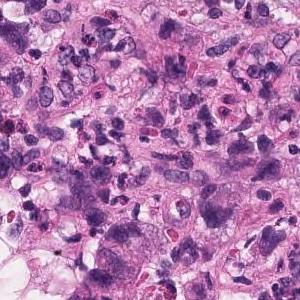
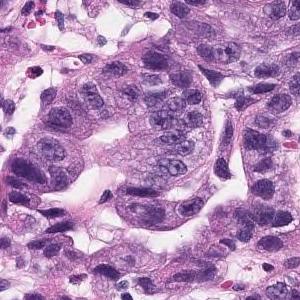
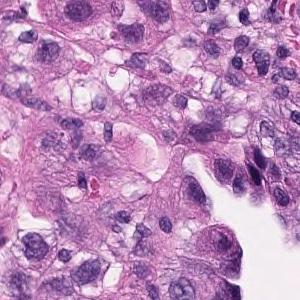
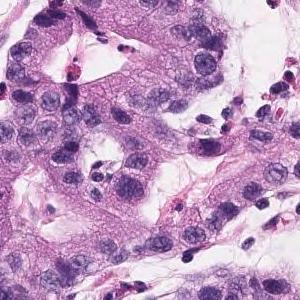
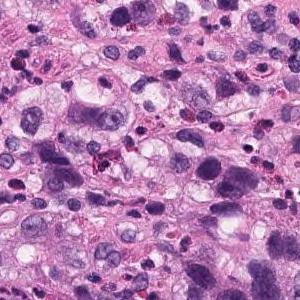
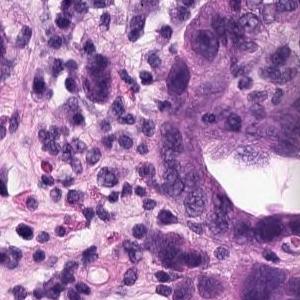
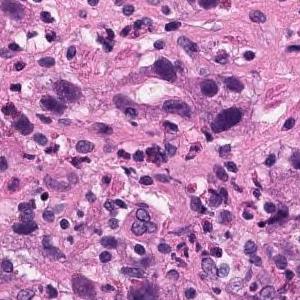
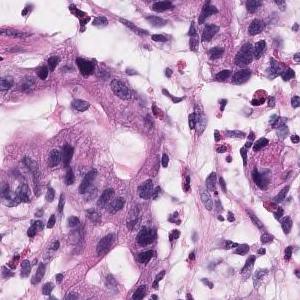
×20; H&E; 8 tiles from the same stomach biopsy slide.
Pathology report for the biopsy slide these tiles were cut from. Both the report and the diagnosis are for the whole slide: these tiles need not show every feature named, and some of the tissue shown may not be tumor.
Atypical l cells with atypical nuclei forming diffuse or small irregular atypical ducts and growing. Moderately to poorly differentiated adenocarcinoma (poorly differentiated adenocarcinoma, solid type, moderately differentiated tubular adenocarcinoma)
Histologic type: Moderately to poorly differentiated adenocarcinoma.
"Solid type" is a category of the Japanese Classification of Gastric Carcinoma; in the WHO 2019 classification it is tubular adenocarcinoma, poorly differentiated.
